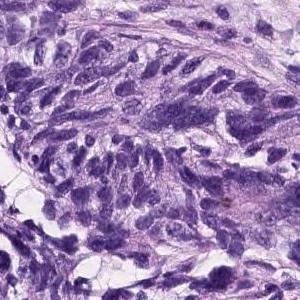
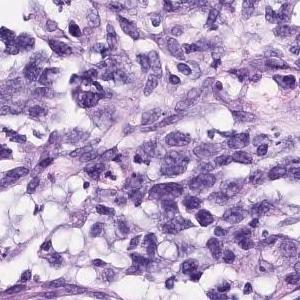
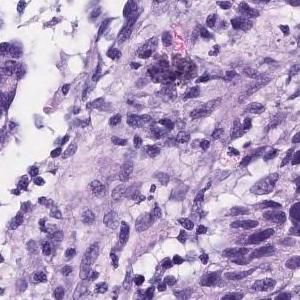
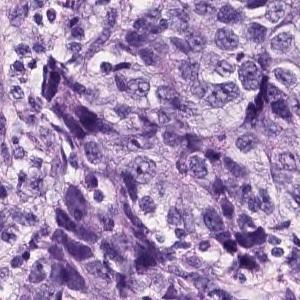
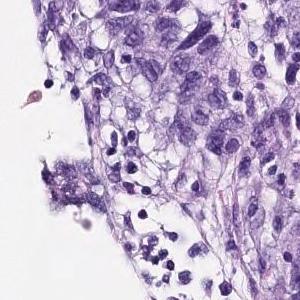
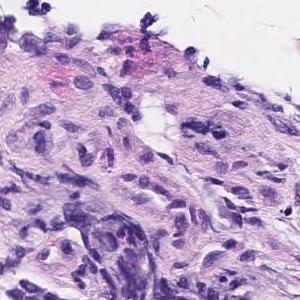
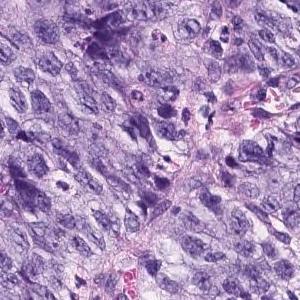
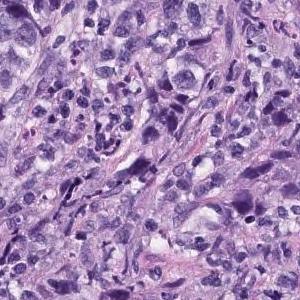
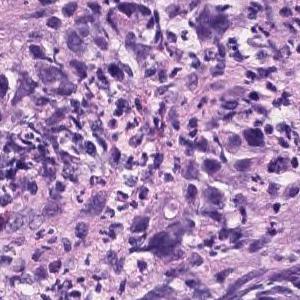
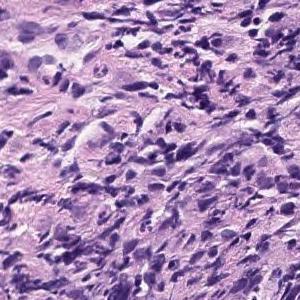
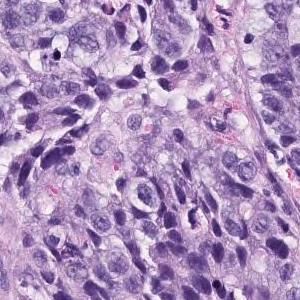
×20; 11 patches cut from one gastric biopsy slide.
Report on the slide these tiles come from. Both the report and the diagnosis are for the whole slide: these tiles need not show every feature named, and some of the tissue shown may not be tumor.
The superficial epithelium shows a large sheet-like shape, and some tumor tissue infiltrates with small irregular ducts. Poorly differentiated adenocarcinoma, solid-type
Subtype: Poorly differentiated adenocarcinoma, solid type, a category of the Japanese Classification of Gastric Carcinoma; in the WHO 2019 classification it is tubular adenocarcinoma, poorly differentiated.
